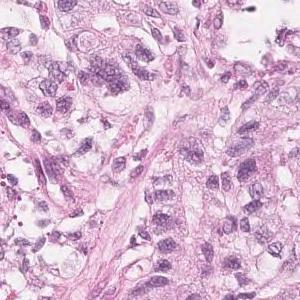
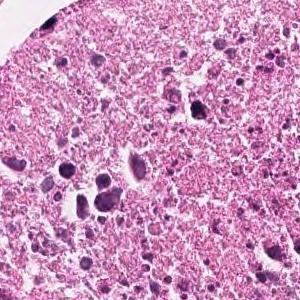
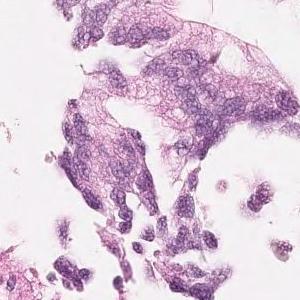
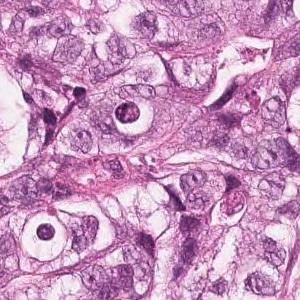
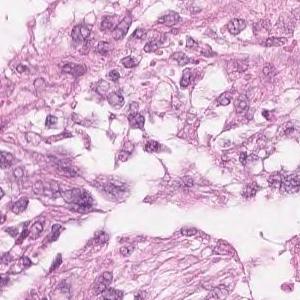
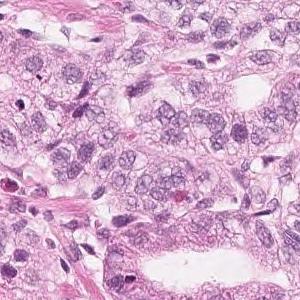
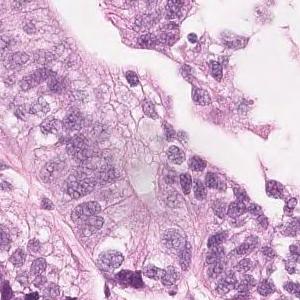
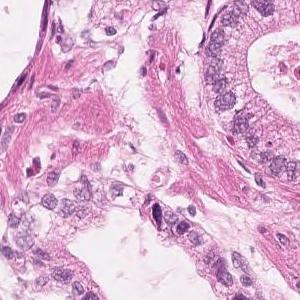
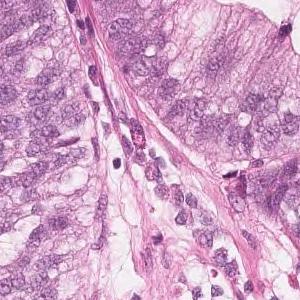
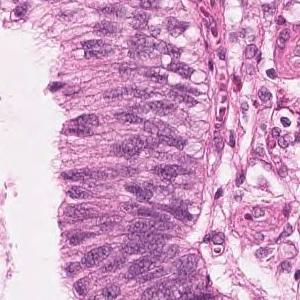
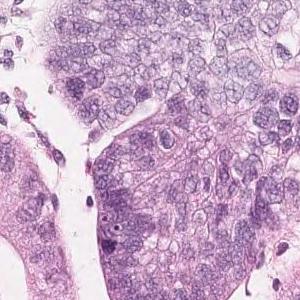
H&E stain · 20× magnification · 11 tiles cut from one stomach biopsy slide.
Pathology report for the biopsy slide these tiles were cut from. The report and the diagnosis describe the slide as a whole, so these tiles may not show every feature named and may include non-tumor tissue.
Highly columnar epithelium with disordered nuclear localization proliferates showing fusion ductal construction. moderately differentiated tubular adenocarcinoma
